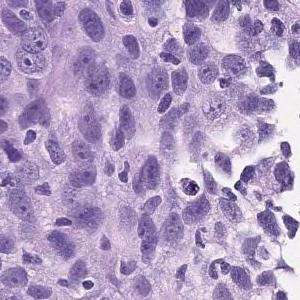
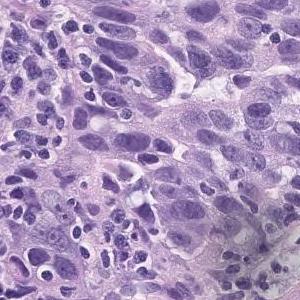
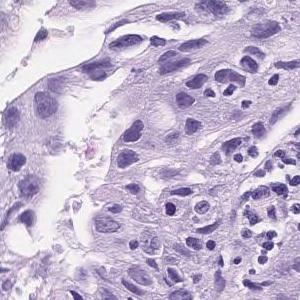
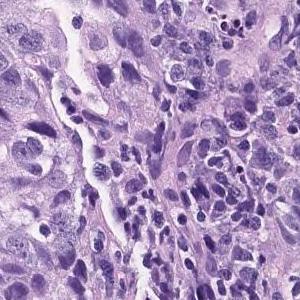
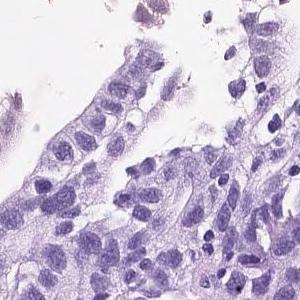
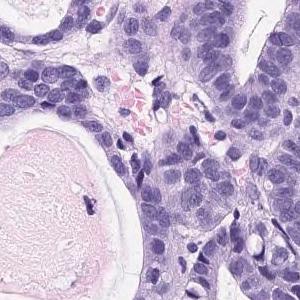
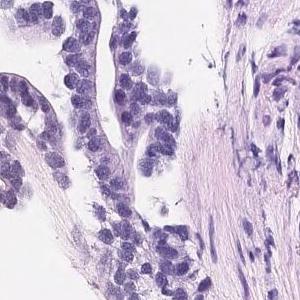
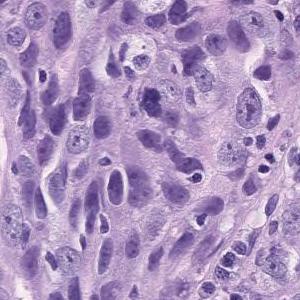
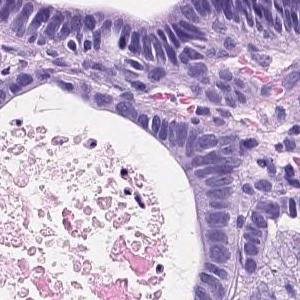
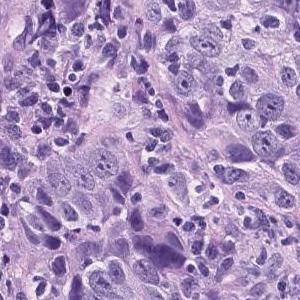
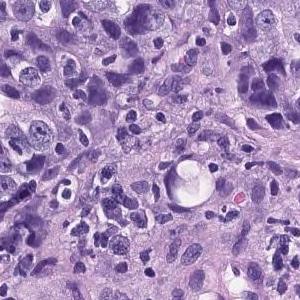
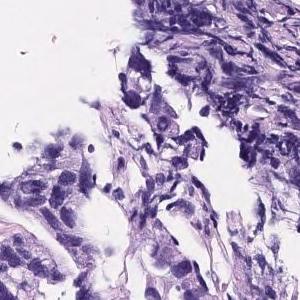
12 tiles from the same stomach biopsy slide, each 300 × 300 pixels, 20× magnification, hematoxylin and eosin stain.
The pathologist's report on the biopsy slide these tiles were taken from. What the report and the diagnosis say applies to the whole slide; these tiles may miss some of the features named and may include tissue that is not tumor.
The superficial epithelium shows a large sheet-like shape, and some tumor tissue infiltrates with small irregular ducts. Poorly differentiated adenocarcinoma, solid-type
Classified as poorly differentiated adenocarcinoma, solid type. This name comes from the Japanese Classification of Gastric Carcinoma; the WHO 2019 classification calls it tubular adenocarcinoma, poorly differentiated.
